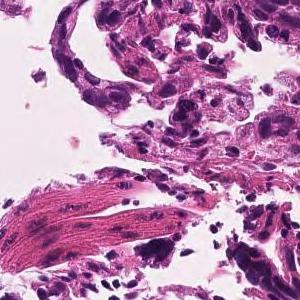
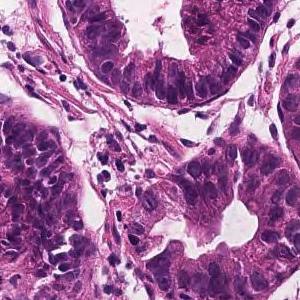
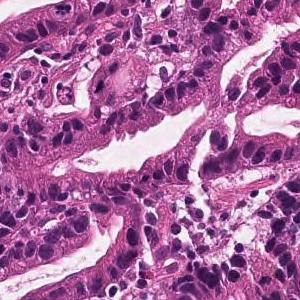
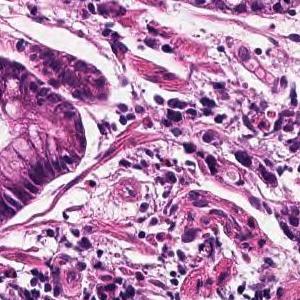
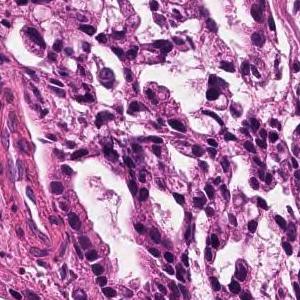
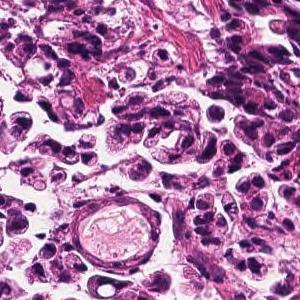
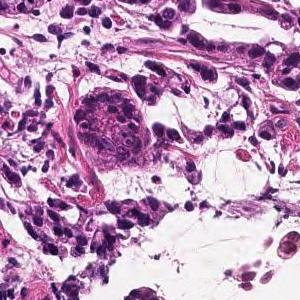
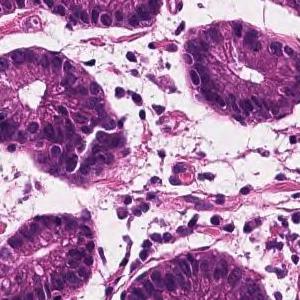
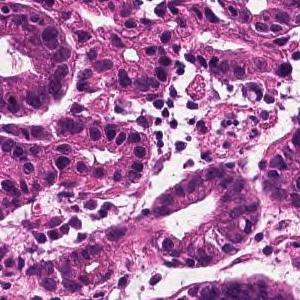
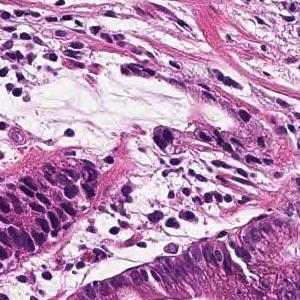
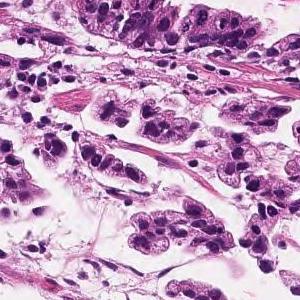
Scanned at ×20 · hematoxylin and eosin stain · 11 tiles from the same stomach biopsy slide.
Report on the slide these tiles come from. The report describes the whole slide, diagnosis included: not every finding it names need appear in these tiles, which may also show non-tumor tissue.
In the superficial epithelium, tumor tissue that invades by forming medium-sized to small, irregular ducts is observed. moderately differentiated tubular adenocarcinoma.
